Hematoxylin and eosin stain, 5 tiles from the same stomach biopsy slide, 300×300 px each.
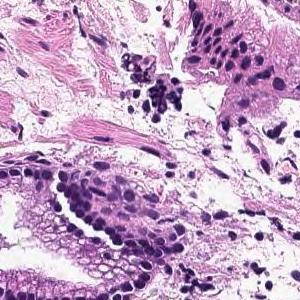
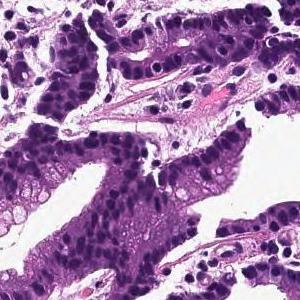
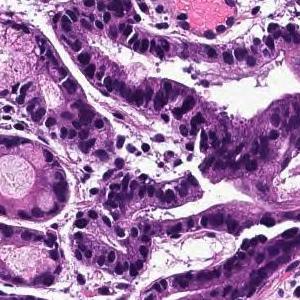
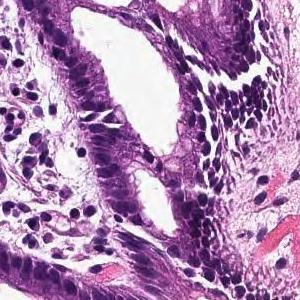
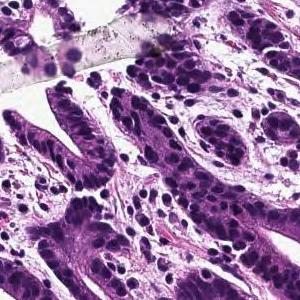
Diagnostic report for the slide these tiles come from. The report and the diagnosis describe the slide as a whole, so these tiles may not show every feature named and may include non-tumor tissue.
In the superficial epithelium, tumor tissue that invades by forming medium-sized to small, irregular ducts is observed. moderately differentiated tubular adenocarcinoma.
